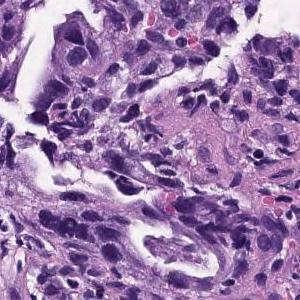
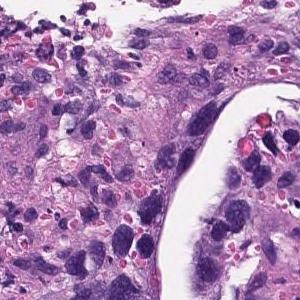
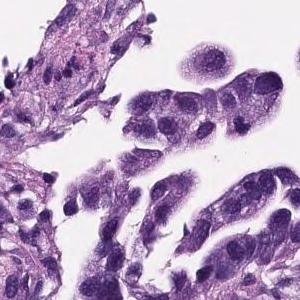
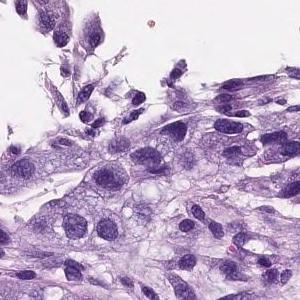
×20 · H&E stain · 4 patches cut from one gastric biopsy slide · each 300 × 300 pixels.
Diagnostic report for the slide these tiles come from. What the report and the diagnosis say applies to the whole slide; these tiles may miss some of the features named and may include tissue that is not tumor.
gastric mucosal tissue with atypical glandular proliferation arranged in tubules and acini. The tumor cells showed hyperchromatic nuclei, high N/C ratio and loss of polarity. Tubular adenocarcinoma of stomach, moderately differentiated.
Histological subtype: Moderately differentiated tubular adenocarcinoma.
